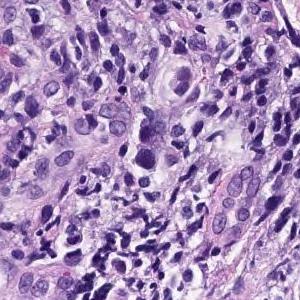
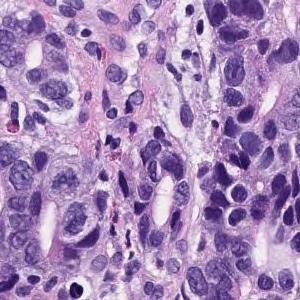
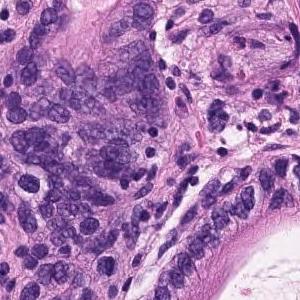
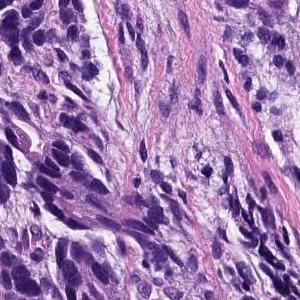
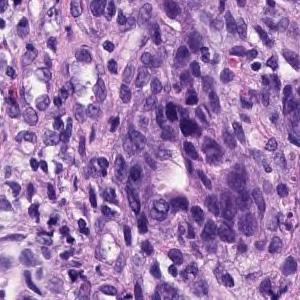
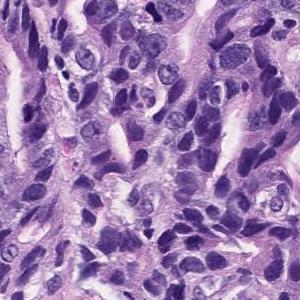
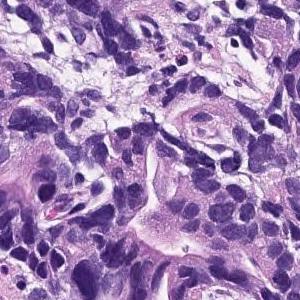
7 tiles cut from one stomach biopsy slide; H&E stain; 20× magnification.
Pathology report for the biopsy slide these tiles were cut from. Both the report and the diagnosis are for the whole slide: these tiles need not show every feature named, and some of the tissue shown may not be tumor.
On the superficial epithelium, tumor tissue consisting of images showing invasive growth with small, irregular tubules partially fused is observed. moderately differentiated tubular adenocarcinoma
